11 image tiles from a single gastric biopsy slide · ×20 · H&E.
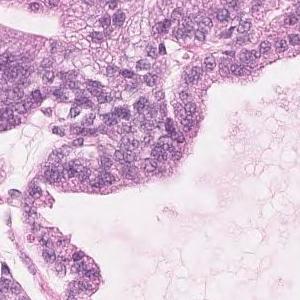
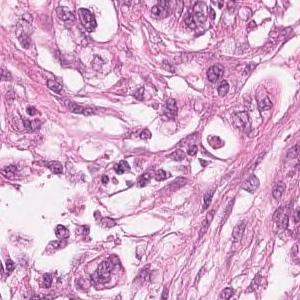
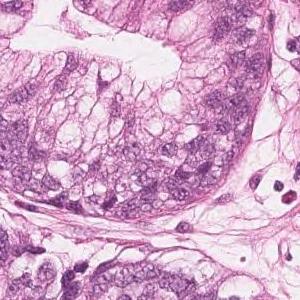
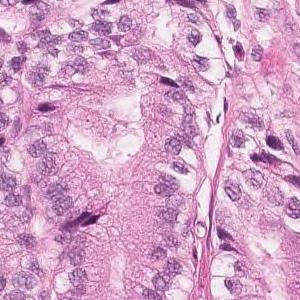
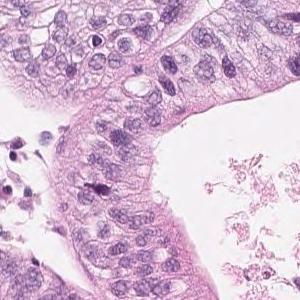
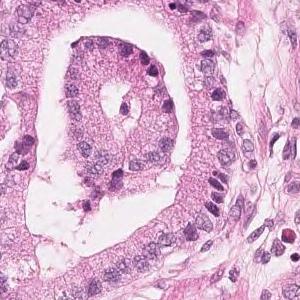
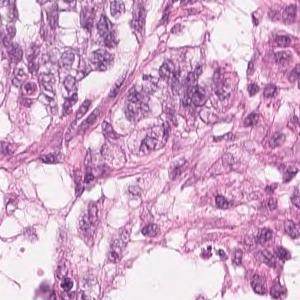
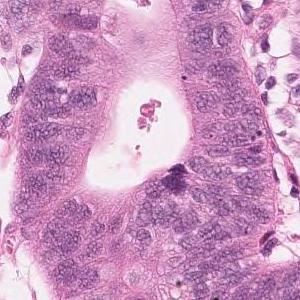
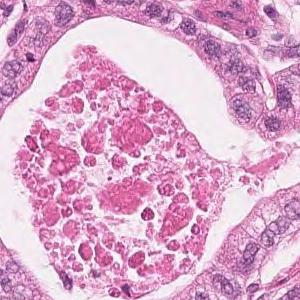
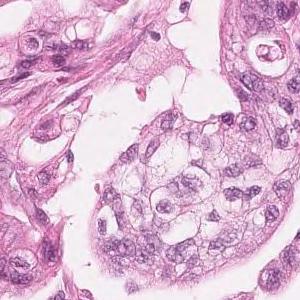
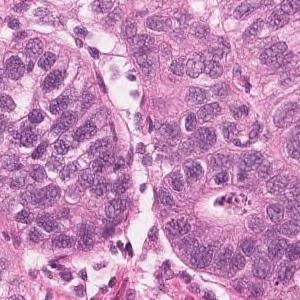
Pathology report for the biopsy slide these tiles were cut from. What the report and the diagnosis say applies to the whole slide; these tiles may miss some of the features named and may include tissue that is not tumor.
Highly columnar epithelium with disordered nuclear localization proliferates showing fusion ductal construction. moderately differentiated tubular adenocarcinoma
